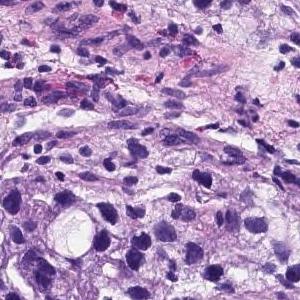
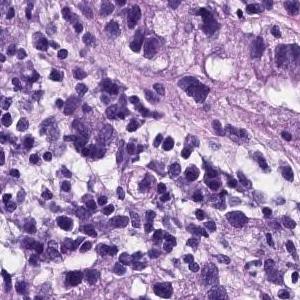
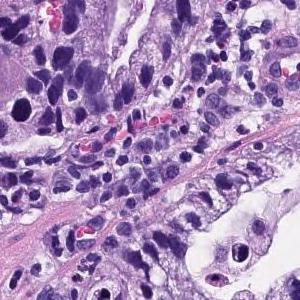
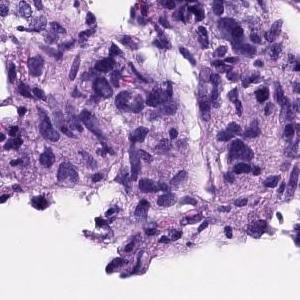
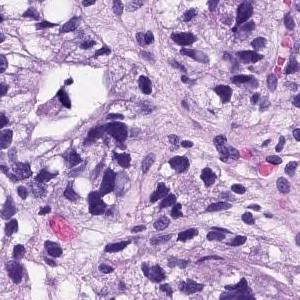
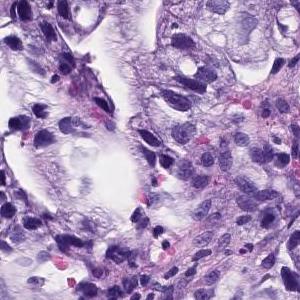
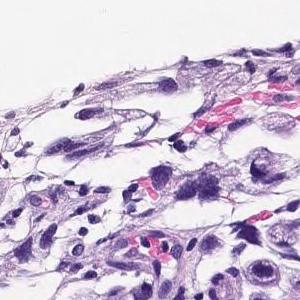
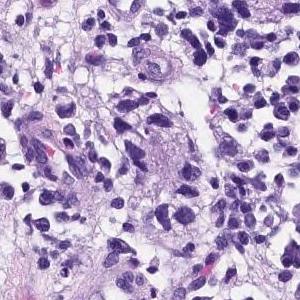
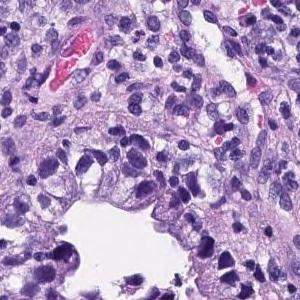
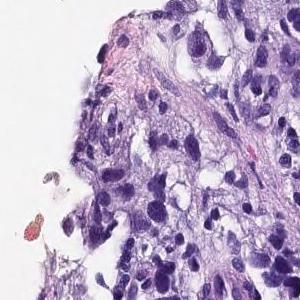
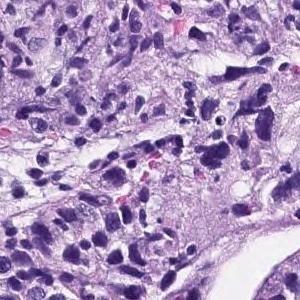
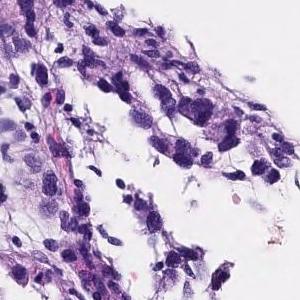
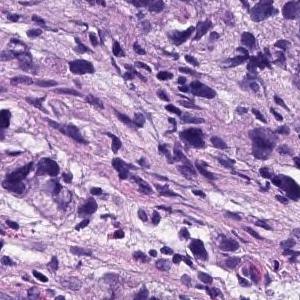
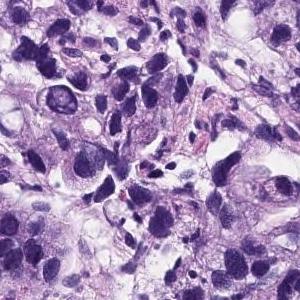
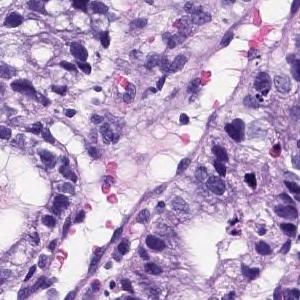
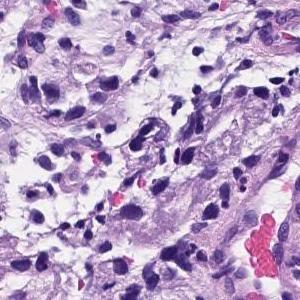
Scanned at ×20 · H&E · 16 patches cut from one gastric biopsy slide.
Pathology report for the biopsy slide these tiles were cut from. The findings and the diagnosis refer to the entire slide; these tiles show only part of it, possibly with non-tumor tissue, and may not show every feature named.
Medium to small, irregular glandular ducts are formed in the superficial epithelium, and in some cases, the glandular ducts are fused to show solid alveolar lesions and infiltrating tumor tissue is observed. Poorly differentiated adenocarcinoma, Moderately differentiated adenocarcinoma.
Labeled in the dataset as moderately differentiated tubular adenocarcinoma.
